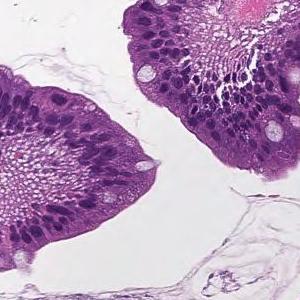
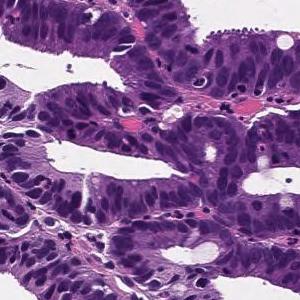
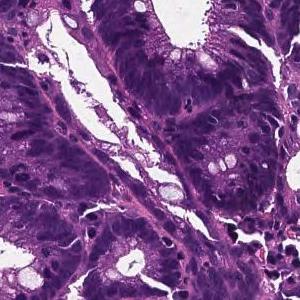
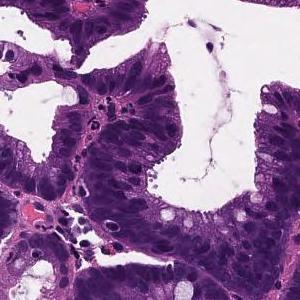
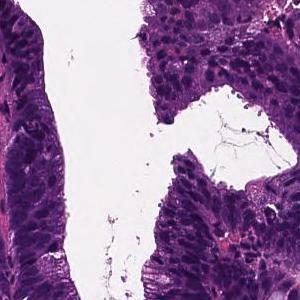
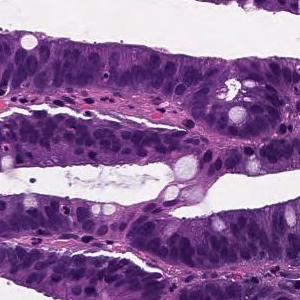
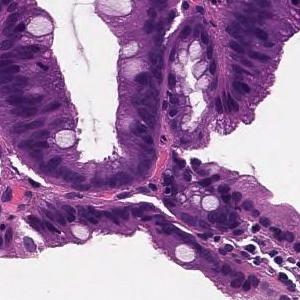
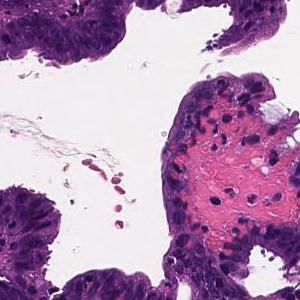
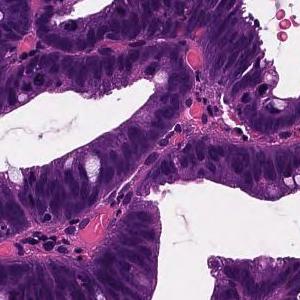
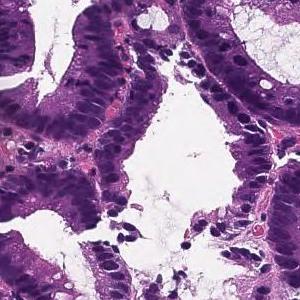
10 tiles from the same stomach biopsy slide; hematoxylin and eosin stain; scanned at ×20.
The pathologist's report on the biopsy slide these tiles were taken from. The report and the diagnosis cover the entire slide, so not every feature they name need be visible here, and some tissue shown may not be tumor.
moderately differentiated tubular adenocarcinoma infiltrates in the submucosa massively.
Histologic type: Moderately differentiated tubular adenocarcinoma.
